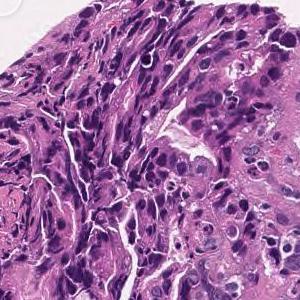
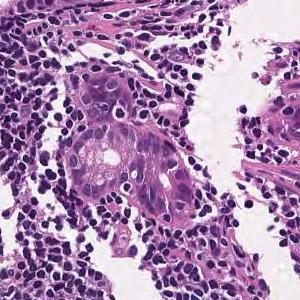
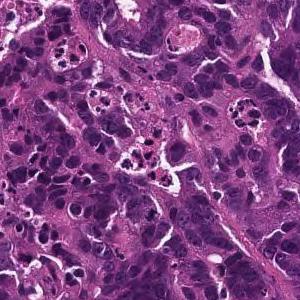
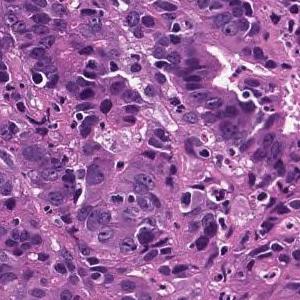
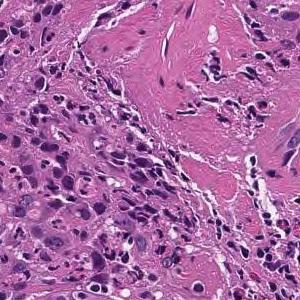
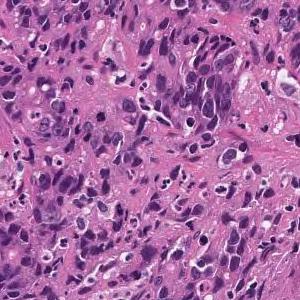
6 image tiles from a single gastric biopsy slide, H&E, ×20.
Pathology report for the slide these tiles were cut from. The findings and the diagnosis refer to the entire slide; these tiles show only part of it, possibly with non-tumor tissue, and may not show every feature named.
In the superficial epithelium, tumor tissue that invades by forming medium-sized to small, irregular ducts is observed. moderately differentiated tubular adenocarcinoma.
